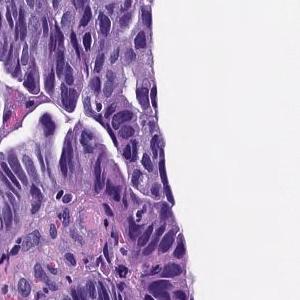
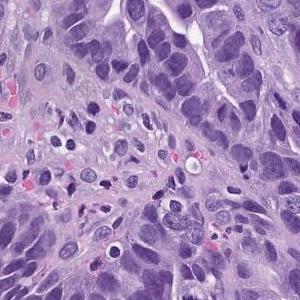
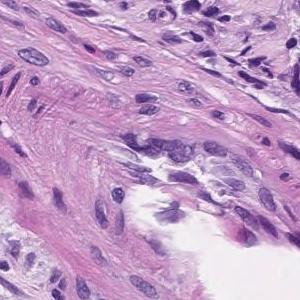
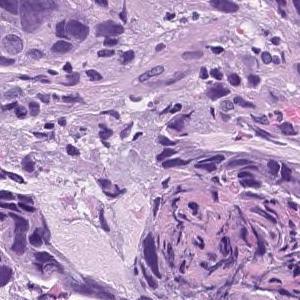
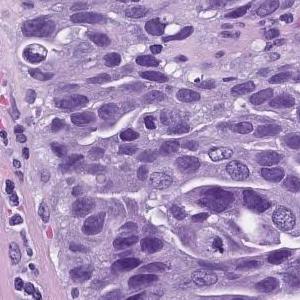
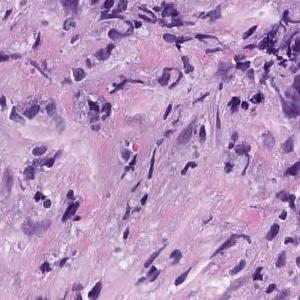
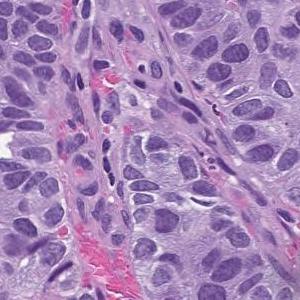
20× magnification; 7 tiles cut from one stomach biopsy slide.
Diagnostic report for the slide these tiles come from. The findings and the diagnosis refer to the entire slide; these tiles show only part of it, possibly with non-tumor tissue, and may not show every feature named.
In the superficial epithelium, tumor tissue that invades by forming medium-sized to small, irregular ducts is observed. moderately differentiated tubular adenocarcinoma.
